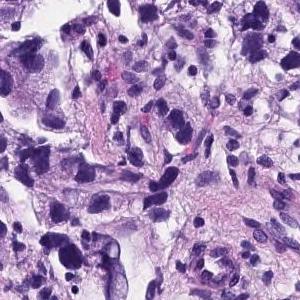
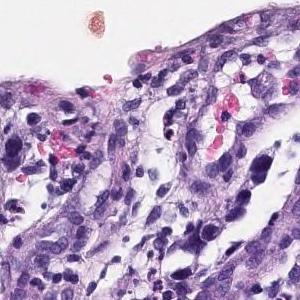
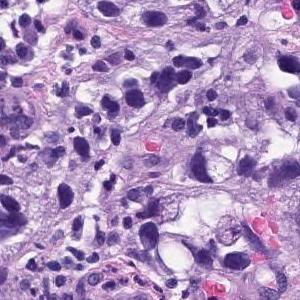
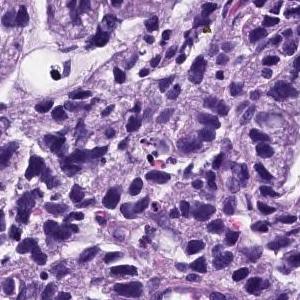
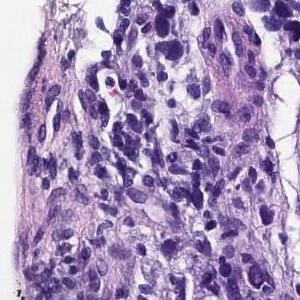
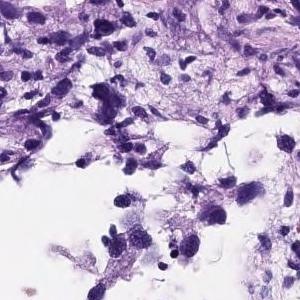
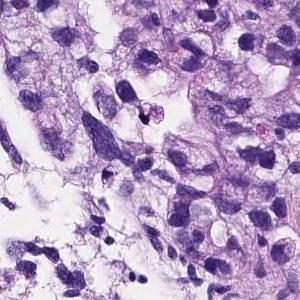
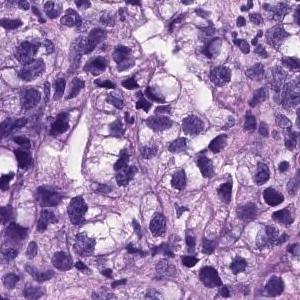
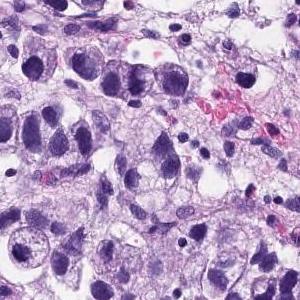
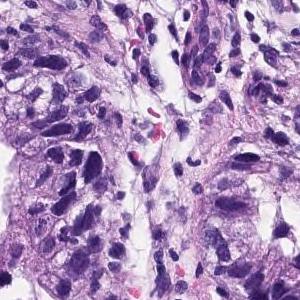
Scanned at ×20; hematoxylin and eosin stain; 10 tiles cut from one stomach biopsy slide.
Pathology report for the slide these tiles were cut from. Both the report and the diagnosis are for the whole slide: these tiles need not show every feature named, and some of the tissue shown may not be tumor.
Medium to small, irregular glandular ducts are formed in the superficial epithelium, and in some cases, the glandular ducts are fused to show solid alveolar lesions and infiltrating tumor tissue is observed. Poorly differentiated adenocarcinoma, Moderately differentiated adenocarcinoma.
Labeled in the dataset as moderately differentiated tubular adenocarcinoma.
